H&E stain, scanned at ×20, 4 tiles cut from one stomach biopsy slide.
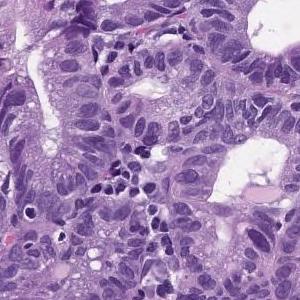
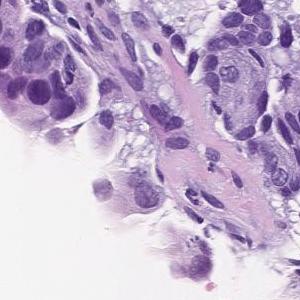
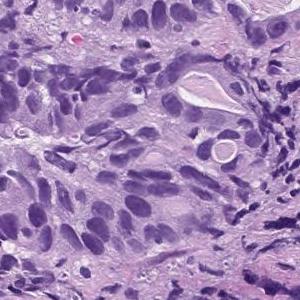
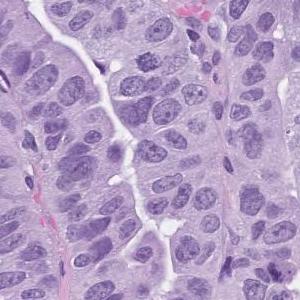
Pathology report for the slide these tiles were cut from. The report describes the whole slide, diagnosis included: not every finding it names need appear in these tiles, which may also show non-tumor tissue.
In the superficial epithelium, tumor tissue that invades by forming medium-sized to small, irregular ducts is observed. moderately differentiated tubular adenocarcinoma.
